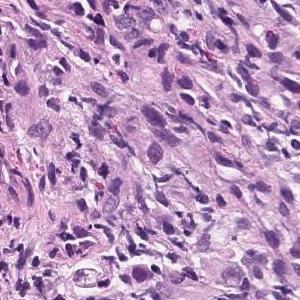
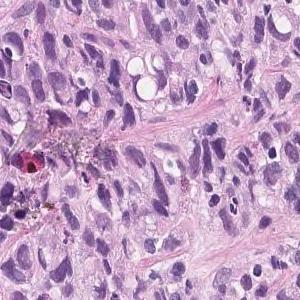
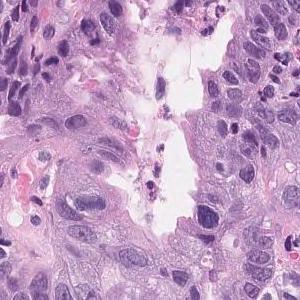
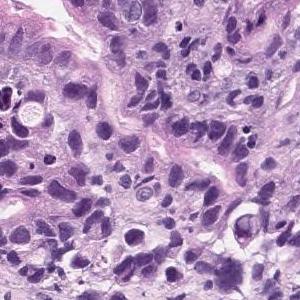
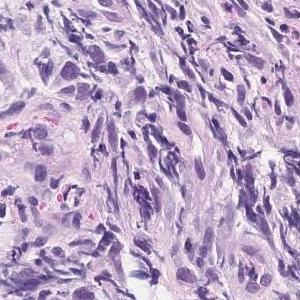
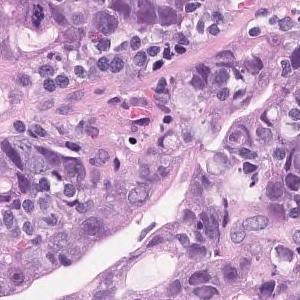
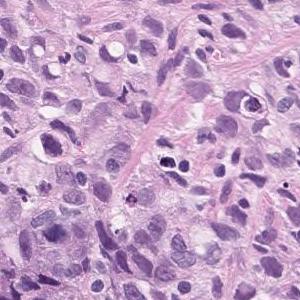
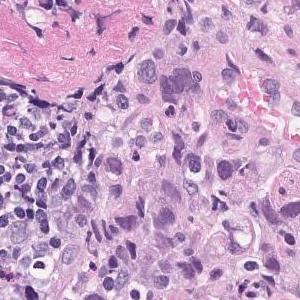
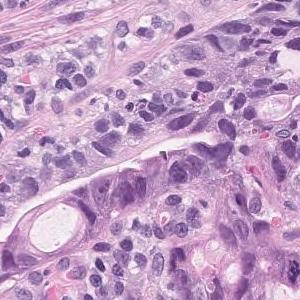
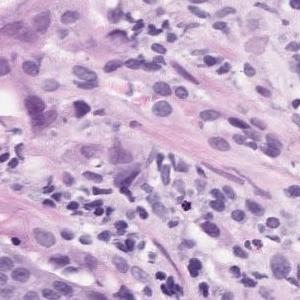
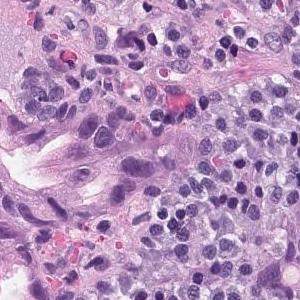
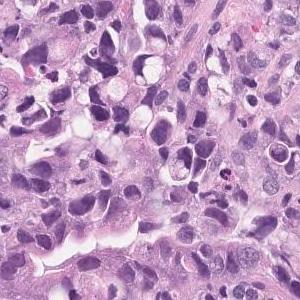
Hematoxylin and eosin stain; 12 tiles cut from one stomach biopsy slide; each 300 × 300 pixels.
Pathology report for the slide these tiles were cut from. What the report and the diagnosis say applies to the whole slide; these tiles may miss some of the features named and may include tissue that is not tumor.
Tumor tissue consisting of medium-sized, cord-like or irregular glandular infiltration is observed in the superficial epithelium. Poorly differentiated adenocarcinoma, non-solid type or moderately differentiated tubular adenocarcinoma
Dataset label: poorly differentiated adenocarcinoma, non-solid type.
The term "non-solid type" comes from the Japanese Classification of Gastric Carcinoma.
